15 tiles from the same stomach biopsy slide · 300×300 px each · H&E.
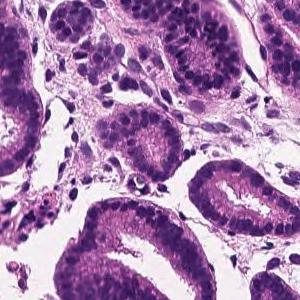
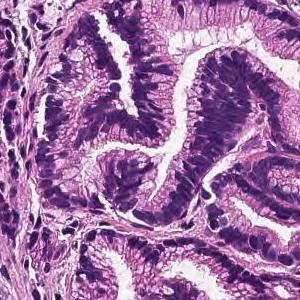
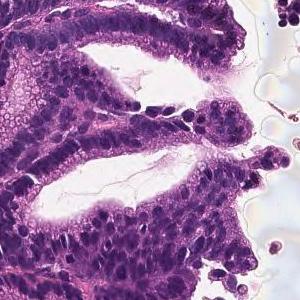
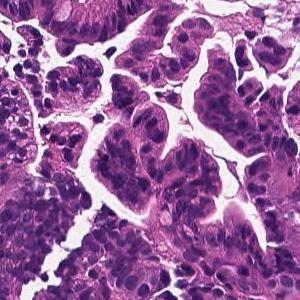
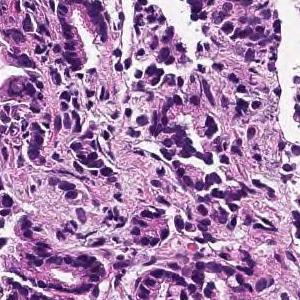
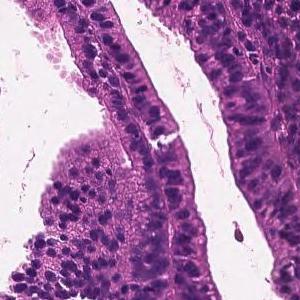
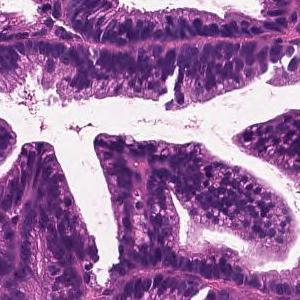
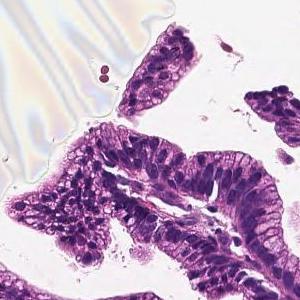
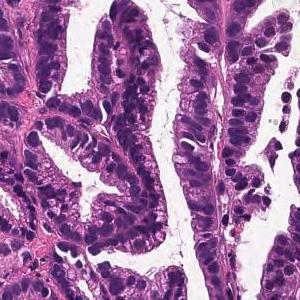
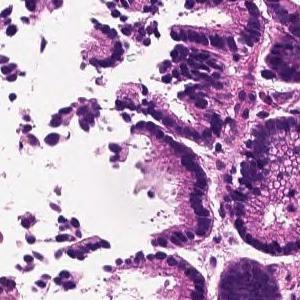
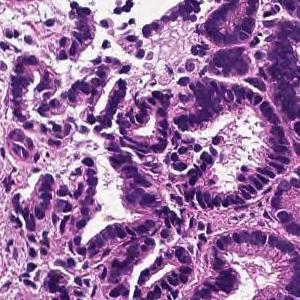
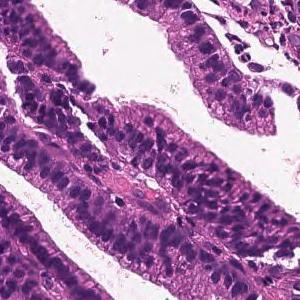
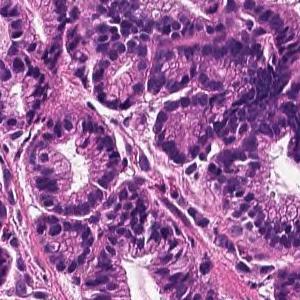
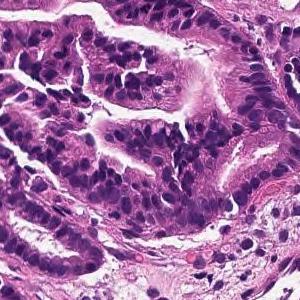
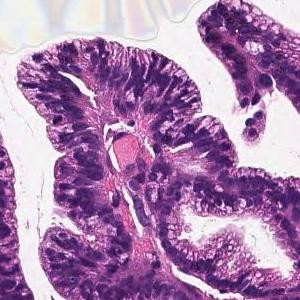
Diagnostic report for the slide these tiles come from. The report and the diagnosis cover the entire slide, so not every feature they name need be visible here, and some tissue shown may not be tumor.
On the superficial epithelium, tumor tissue consisting of large irregular glandular ducts partially fused and infiltrated is observed. Well to moderately differentiated tubular adenocarcinoma (well differentiated tubular adenocarcinoma, moderately differentiated tubular adenocarcinoma)
Classified as well to moderately differentiated tubular adenocarcinoma.
